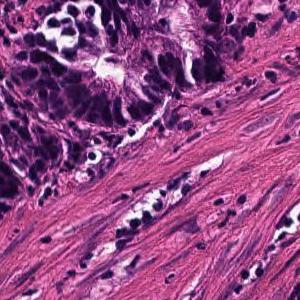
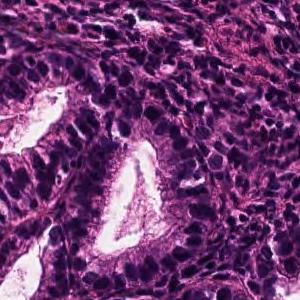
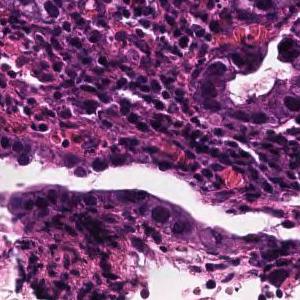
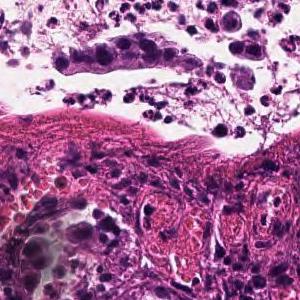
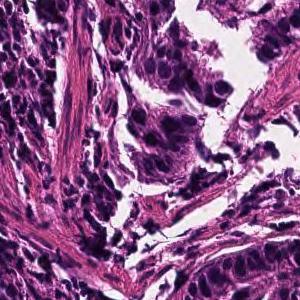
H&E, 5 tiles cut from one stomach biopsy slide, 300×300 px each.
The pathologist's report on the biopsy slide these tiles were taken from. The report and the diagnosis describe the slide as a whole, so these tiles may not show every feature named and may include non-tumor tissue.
Tumor tissue consisting of large papillary structures is found in the superficial epithelium. Papillary adenocarcinoma.
